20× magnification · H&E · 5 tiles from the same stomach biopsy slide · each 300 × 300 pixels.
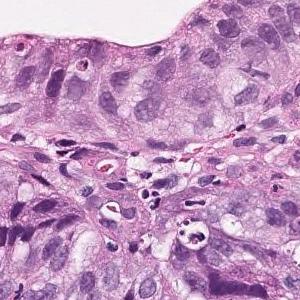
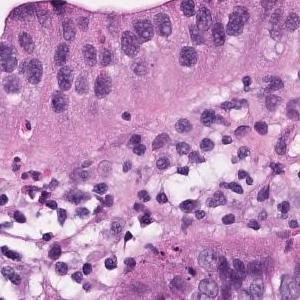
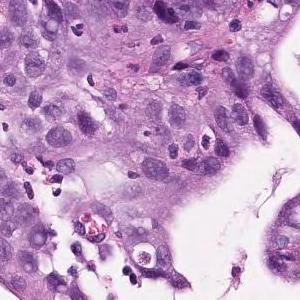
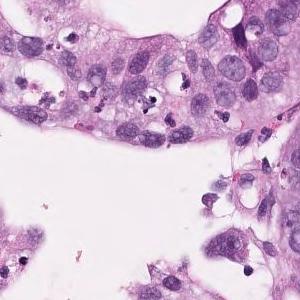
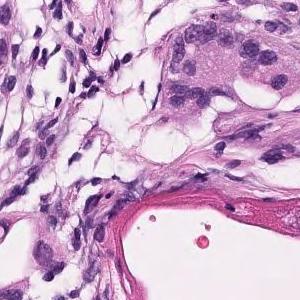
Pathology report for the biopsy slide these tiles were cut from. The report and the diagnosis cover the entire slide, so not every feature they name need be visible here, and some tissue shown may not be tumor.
On the superficial epithelium, tumor tissue consisting of medium to small irregular tubules partially fused and proliferated is observed. Well differentiated tubular adenocarcinoma
